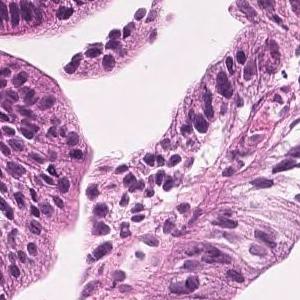
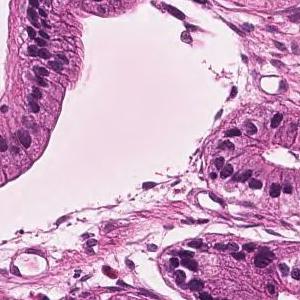
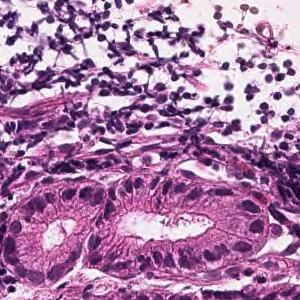
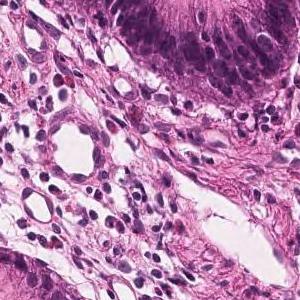
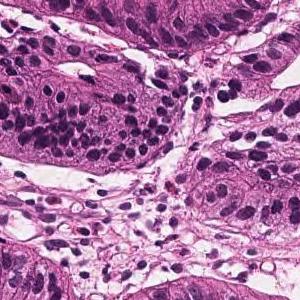
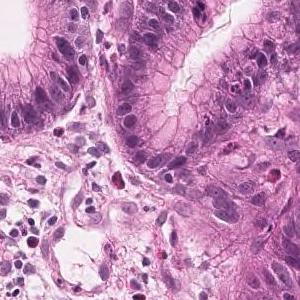
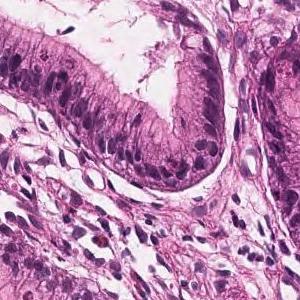
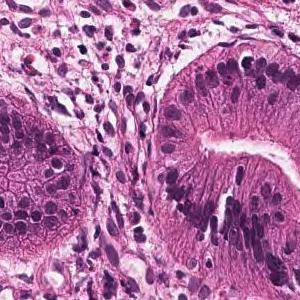
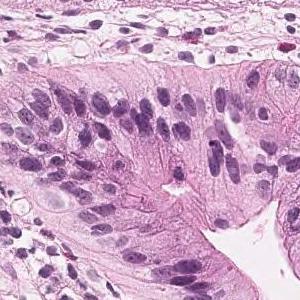
Scanned at ×20 · 9 patches cut from one gastric biopsy slide · each 300 × 300 pixels.
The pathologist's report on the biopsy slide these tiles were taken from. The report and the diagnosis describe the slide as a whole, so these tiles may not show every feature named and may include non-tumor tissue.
Tumor tissue consisting of medium-sized and irregular ducts is observed infiltrating in the superficial epithelium. Tumor cells are highly columnar, with nuclei aligned basolaterally and polarized. Well differentiated tubular adenocarcinoma.
